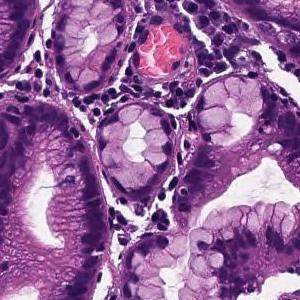
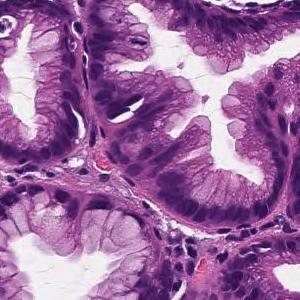
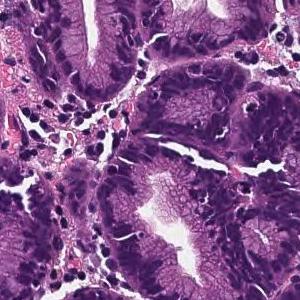
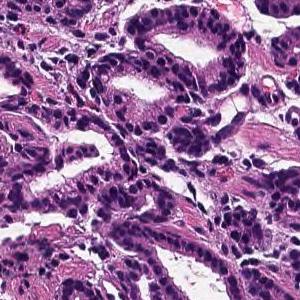
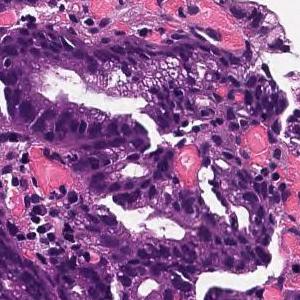
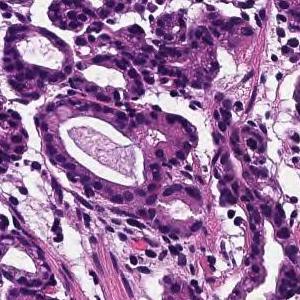
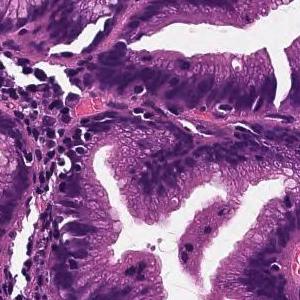
7 image tiles from a single gastric biopsy slide; 300 × 300 pixels each; H&E; 20× magnification.
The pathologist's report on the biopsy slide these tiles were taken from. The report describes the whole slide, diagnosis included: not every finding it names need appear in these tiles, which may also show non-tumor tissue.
Cells with elliptical or atypical nuclei form dense ducts with relatively clear growth. Well differentiated tubular adenocarcinoma
